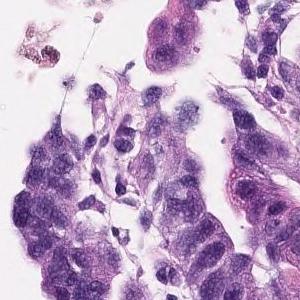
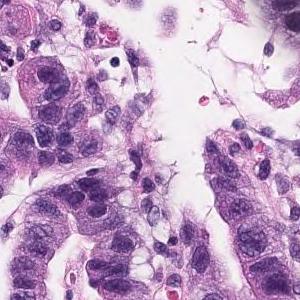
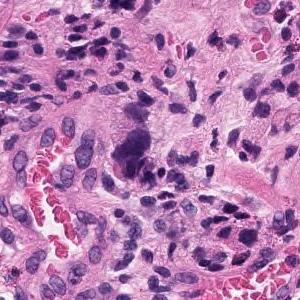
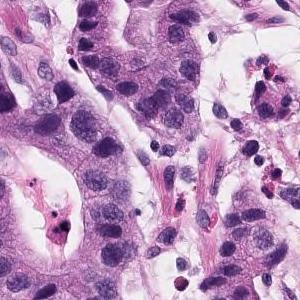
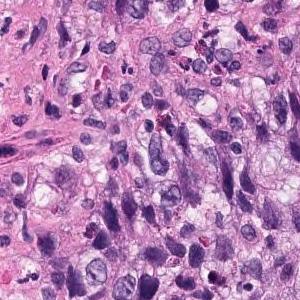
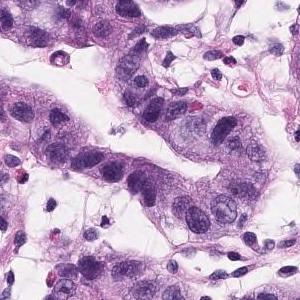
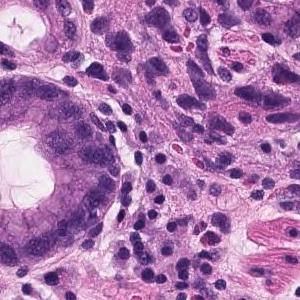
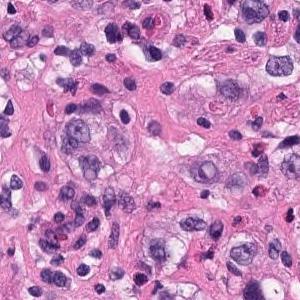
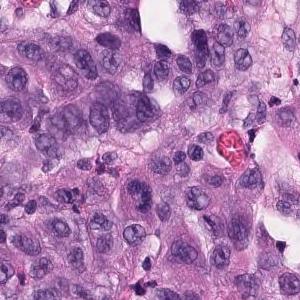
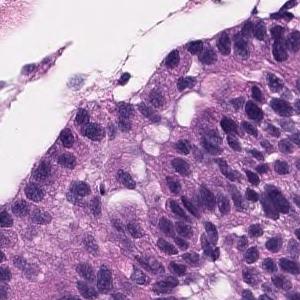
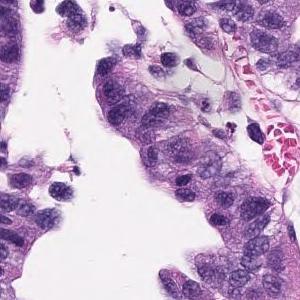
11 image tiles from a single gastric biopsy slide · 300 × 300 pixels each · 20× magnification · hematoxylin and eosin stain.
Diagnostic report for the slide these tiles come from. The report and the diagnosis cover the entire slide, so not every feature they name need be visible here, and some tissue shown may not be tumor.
Atypical l cells with atypical nuclei forming diffuse or small irregular atypical ducts and growing. Moderately to poorly differentiated adenocarcinoma (poorly differentiated adenocarcinoma, solid type, moderately differentiated tubular adenocarcinoma)
Tumor subtype: moderately to poorly differentiated adenocarcinoma.
"Solid type" is a category of the Japanese Classification of Gastric Carcinoma; in the WHO 2019 classification it is tubular adenocarcinoma, poorly differentiated.
